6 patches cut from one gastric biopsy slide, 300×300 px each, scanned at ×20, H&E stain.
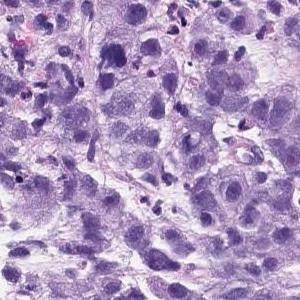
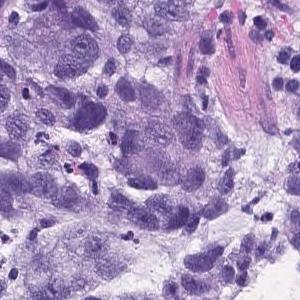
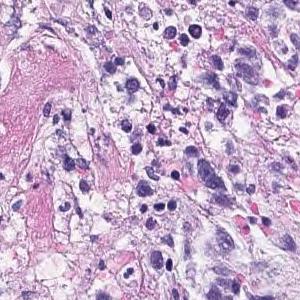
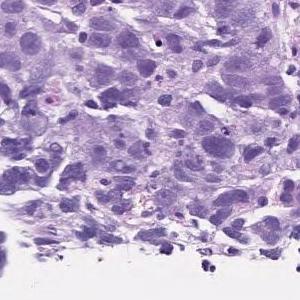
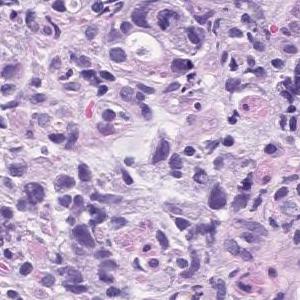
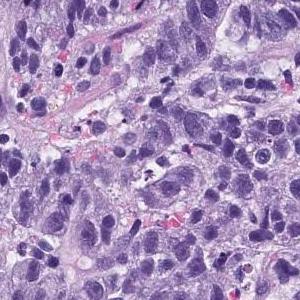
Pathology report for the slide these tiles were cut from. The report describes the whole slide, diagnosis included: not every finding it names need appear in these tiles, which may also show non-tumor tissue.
Atypical l cells with atypical nuclei forming solid vesicles or small irregular atypical ducts that proliferate in a complex manner. poorly differentiated adenocarcinoma, solid type, moderately differentiated tubular adenocarcinoma
"Solid type" is a category of the Japanese Classification of Gastric Carcinoma; in the WHO 2019 classification it is tubular adenocarcinoma, poorly differentiated.
